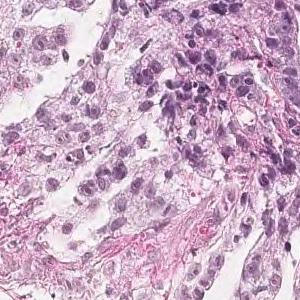
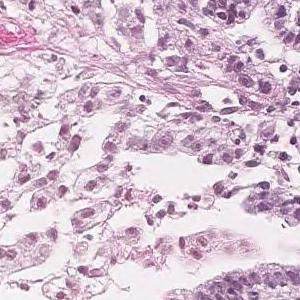
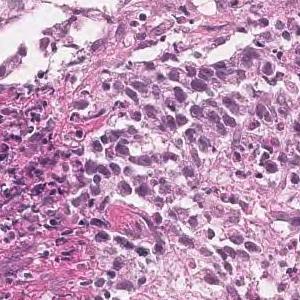
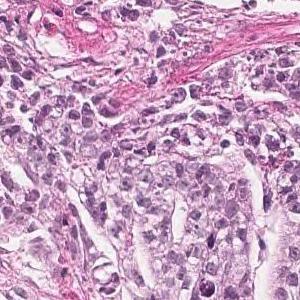
20× magnification, hematoxylin and eosin stain, 4 patches cut from one gastric biopsy slide.
Pathology report for the slide these tiles were cut from. The report and the diagnosis cover the entire slide, so not every feature they name need be visible here, and some tissue shown may not be tumor.
Tumor tissue in which highly columnar atypical epithelial cells with nuclear enlargement and increased nuclear chromatin show papillary to papillary ductal structure and proliferate is observed. Papillary adenocarcinoma.
